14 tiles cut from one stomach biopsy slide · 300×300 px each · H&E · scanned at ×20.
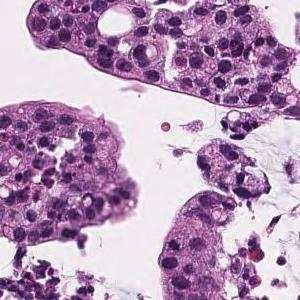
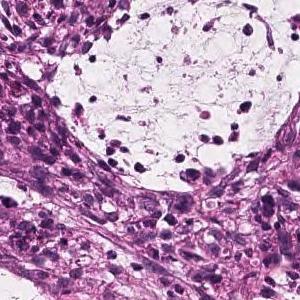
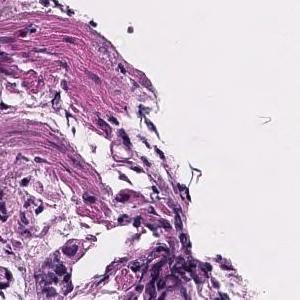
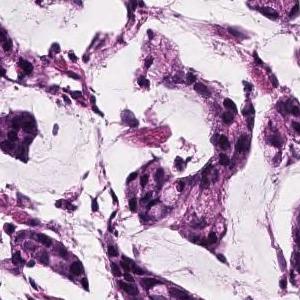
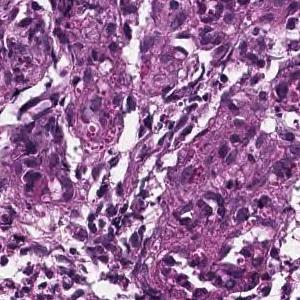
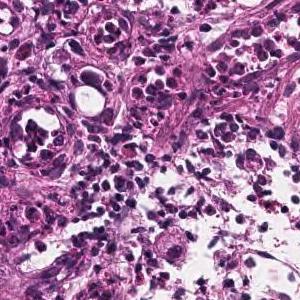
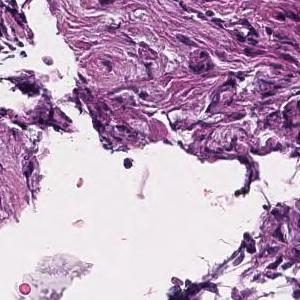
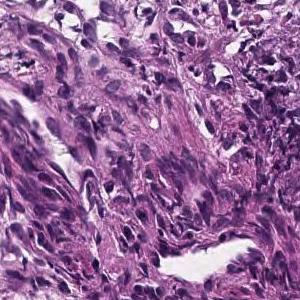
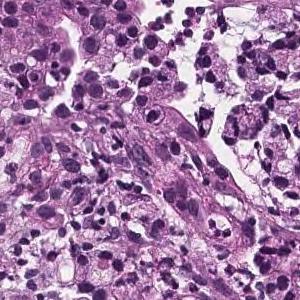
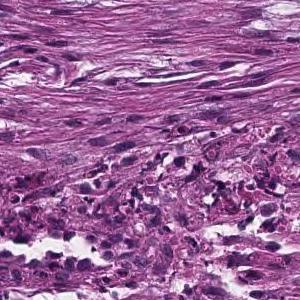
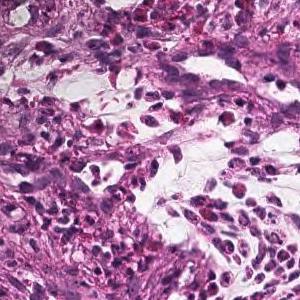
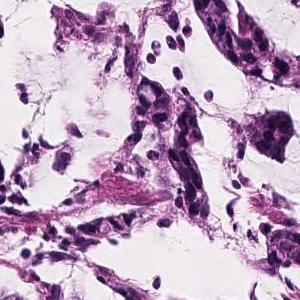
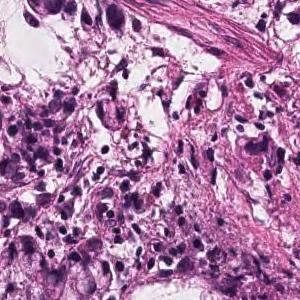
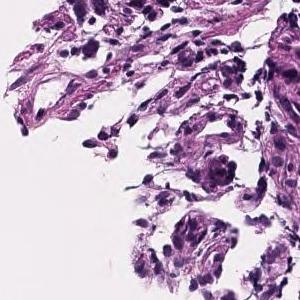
Report on the slide these tiles come from. The report and the diagnosis describe the slide as a whole, so these tiles may not show every feature named and may include non-tumor tissue.
Atypical epithelial cells form obscure ductal structures or small solid follicles, and tumor tissue that proliferates invasively with proliferation of inflammatory granulation tissue is observed. Mucinous adenocarcinoma .
